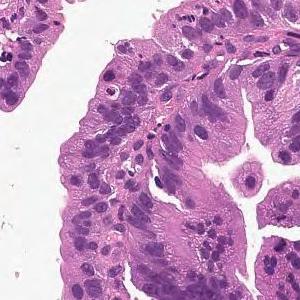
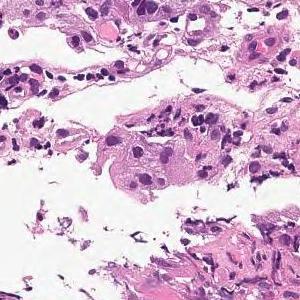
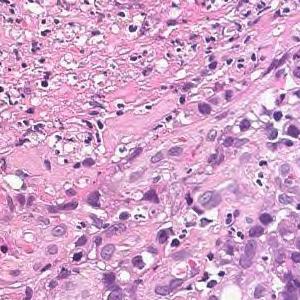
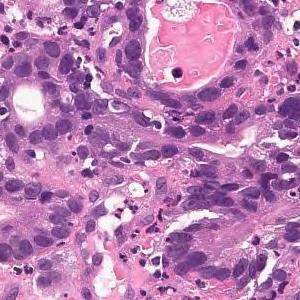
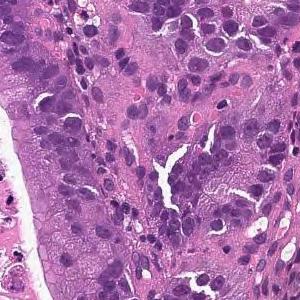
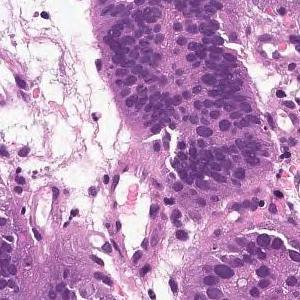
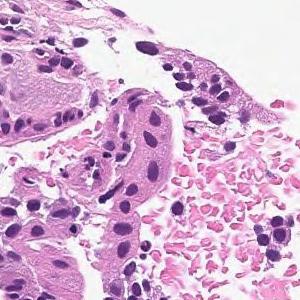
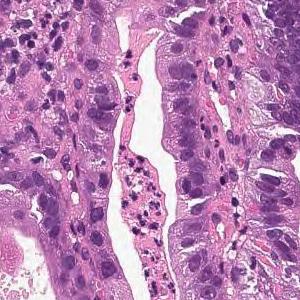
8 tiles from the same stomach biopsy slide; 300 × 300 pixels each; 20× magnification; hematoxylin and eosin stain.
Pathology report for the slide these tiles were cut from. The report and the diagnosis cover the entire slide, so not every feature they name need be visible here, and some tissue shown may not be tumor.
From the superficial epithelium to the muscularis mucosae, tumor tissue consisting of medium-sized and irregular glandular ducts infiltrating is observed. Well differentiated tubular adenocarcinoma
